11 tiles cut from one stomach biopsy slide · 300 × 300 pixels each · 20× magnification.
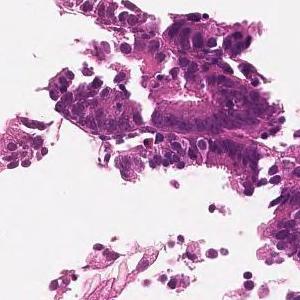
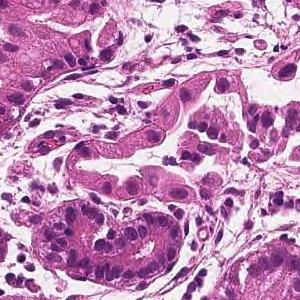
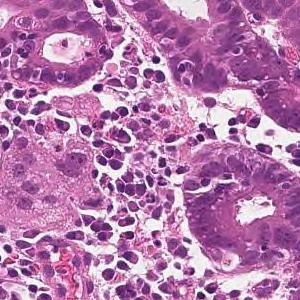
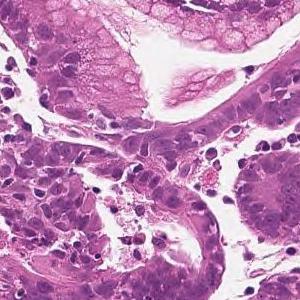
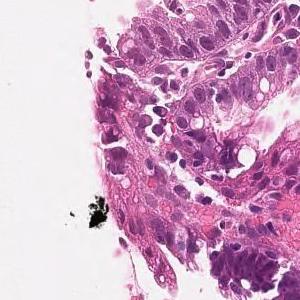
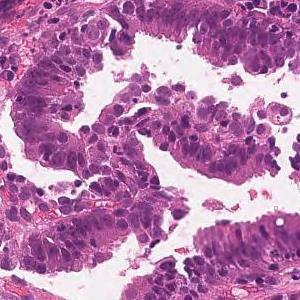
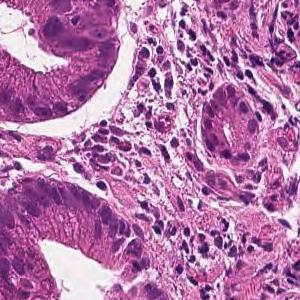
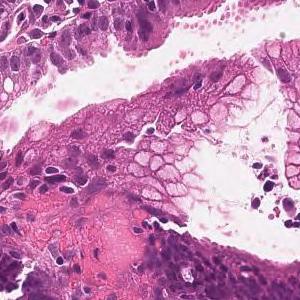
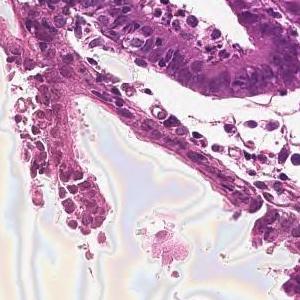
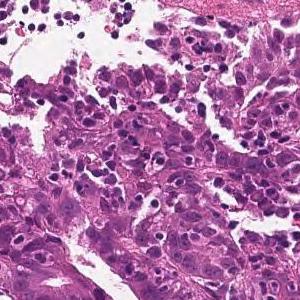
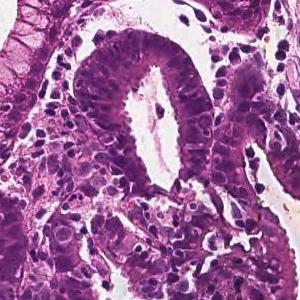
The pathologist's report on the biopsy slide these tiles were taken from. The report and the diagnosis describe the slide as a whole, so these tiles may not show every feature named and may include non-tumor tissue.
On the superficial epithelium, tumor tissue is found in which medium-sized irregular gland ducts fuse with each other and infiltrate. moderately differentiated tubular adenocarcinoma
